13 tiles cut from one stomach biopsy slide · hematoxylin and eosin stain.
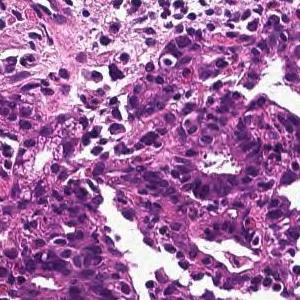
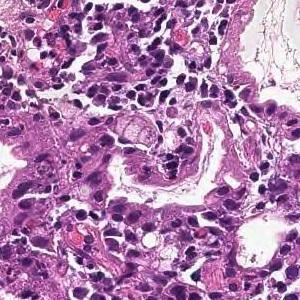
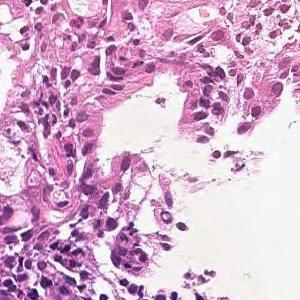
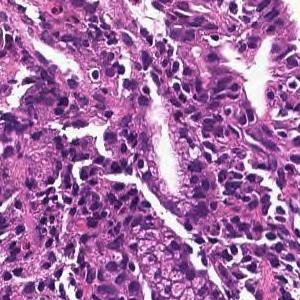
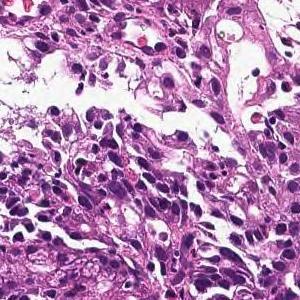
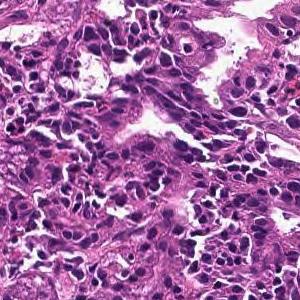
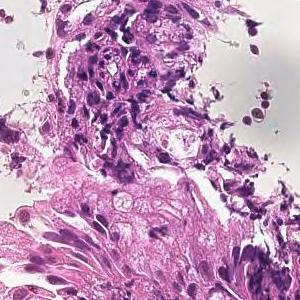
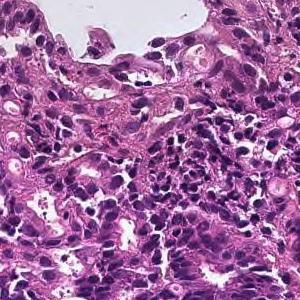
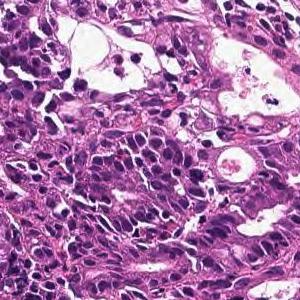
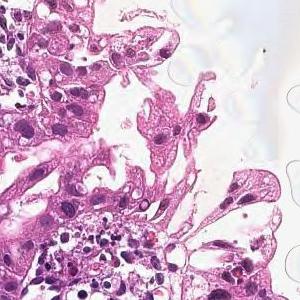
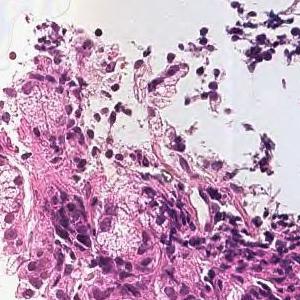
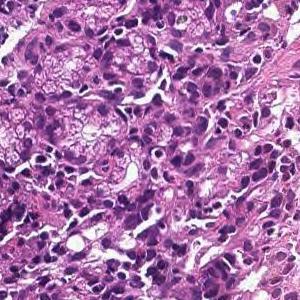
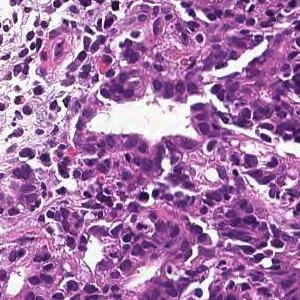
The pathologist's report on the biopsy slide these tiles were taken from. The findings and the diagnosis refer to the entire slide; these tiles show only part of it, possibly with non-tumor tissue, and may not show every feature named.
In the superficial epithelium, tumor tissue that invades by forming medium-sized to small, irregular ducts is observed. moderately differentiated tubular adenocarcinoma.
